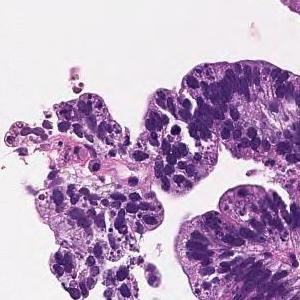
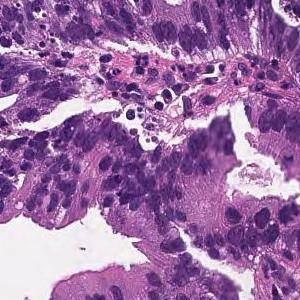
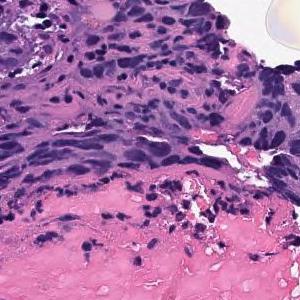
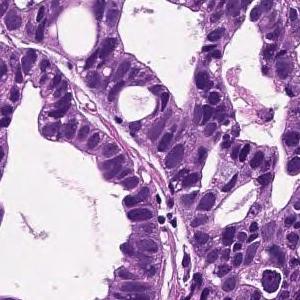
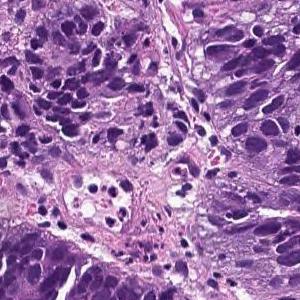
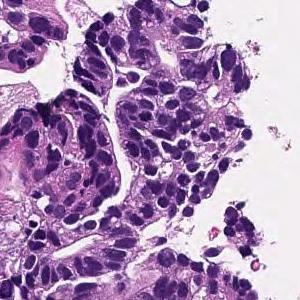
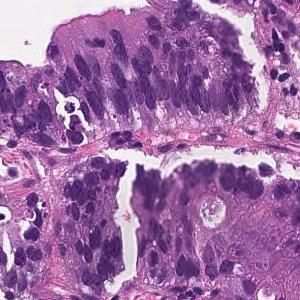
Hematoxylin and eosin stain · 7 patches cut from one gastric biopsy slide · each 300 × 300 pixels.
Pathology report for the biopsy slide these tiles were cut from. The findings and the diagnosis refer to the entire slide; these tiles show only part of it, possibly with non-tumor tissue, and may not show every feature named.
In the superficial epithelium, tumor tissue that invades by forming medium-sized to small, irregular ducts is observed. moderately differentiated tubular adenocarcinoma.
